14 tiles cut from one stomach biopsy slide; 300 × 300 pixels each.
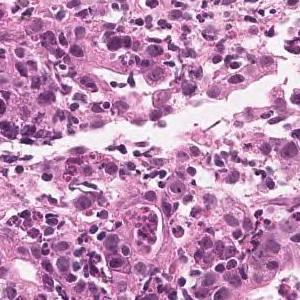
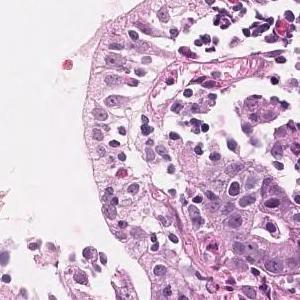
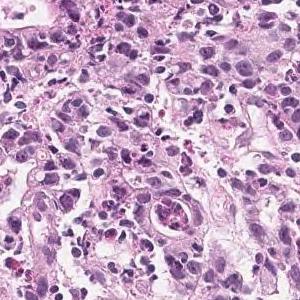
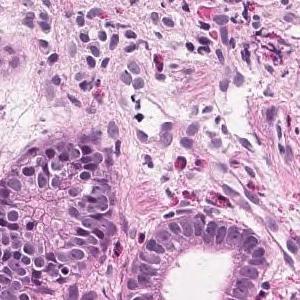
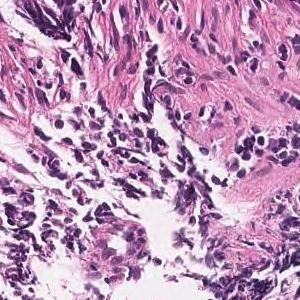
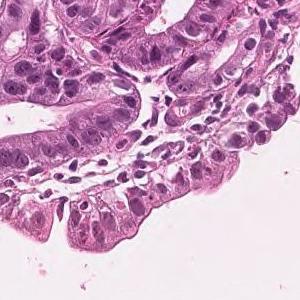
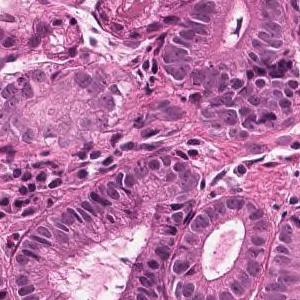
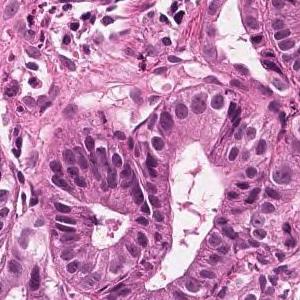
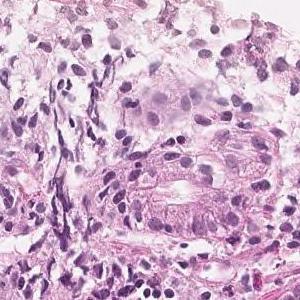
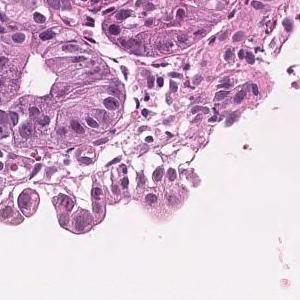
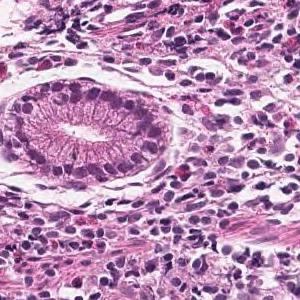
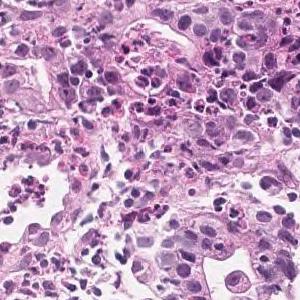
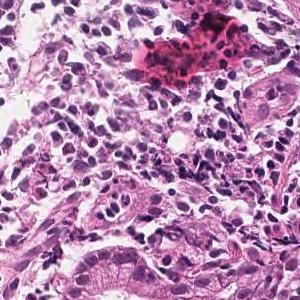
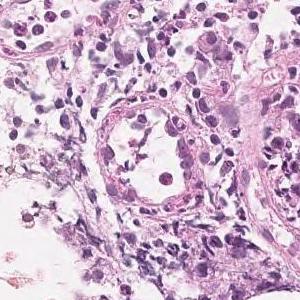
Report on the slide these tiles come from. The report describes the whole slide, diagnosis included: not every finding it names need appear in these tiles, which may also show non-tumor tissue.
On the superficial epithelium, tumor tissue consisting of large, irregular glandular ducts partially fused and infiltrated is observed. Well to moderately differentiated tubular adenocarcinoma (well differentiated tubular adenocarcinoma, moderately differentiated tubular adenocarcinoma)
Histologic type: Well to moderately differentiated tubular adenocarcinoma.
